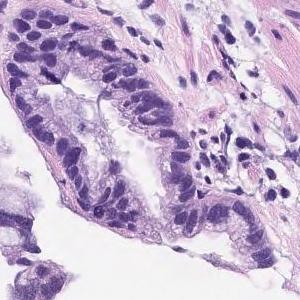
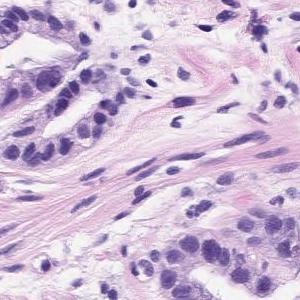
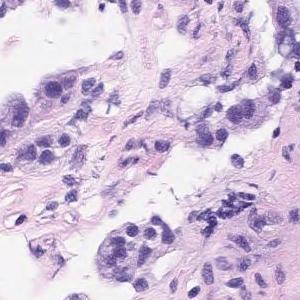
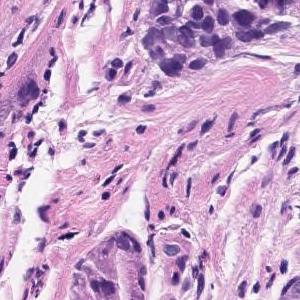
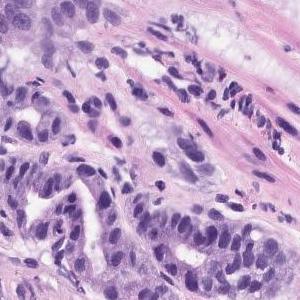
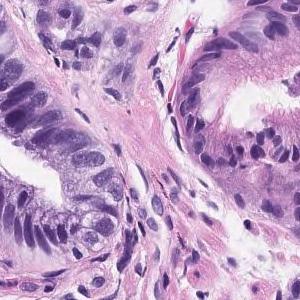
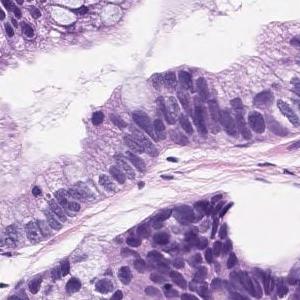
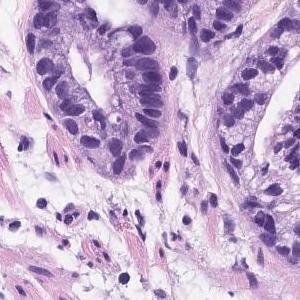
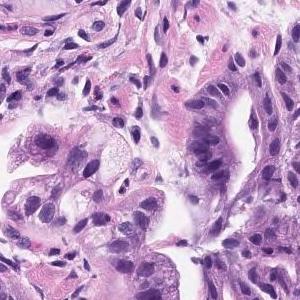
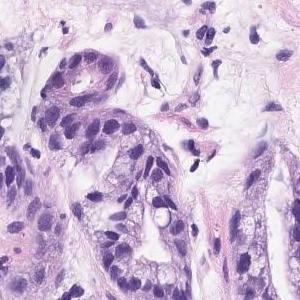
Hematoxylin and eosin stain · scanned at ×20 · 10 tiles cut from one stomach biopsy slide · 300 × 300 pixels each.
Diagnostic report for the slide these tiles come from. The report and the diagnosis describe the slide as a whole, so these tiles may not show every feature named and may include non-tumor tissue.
The superficial tumors shows large papillary structures or large and small ducts and infiltrates. Papillary adenocarcinoma.
